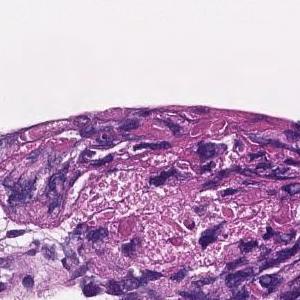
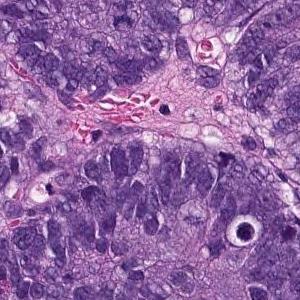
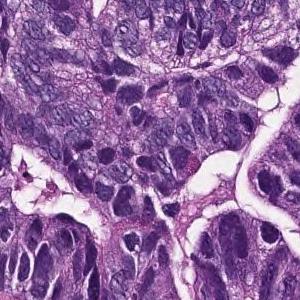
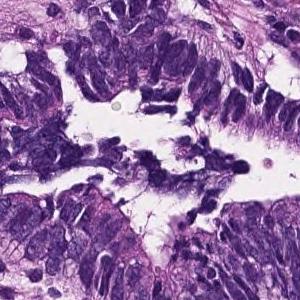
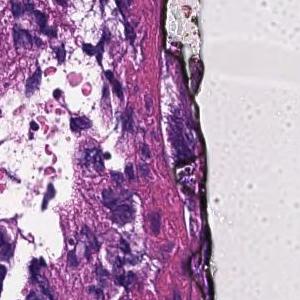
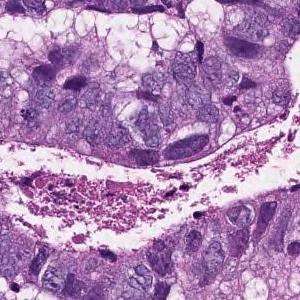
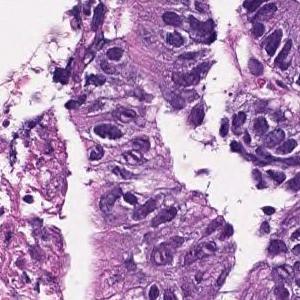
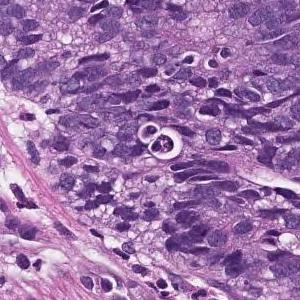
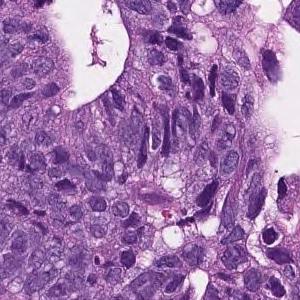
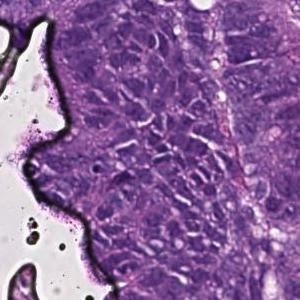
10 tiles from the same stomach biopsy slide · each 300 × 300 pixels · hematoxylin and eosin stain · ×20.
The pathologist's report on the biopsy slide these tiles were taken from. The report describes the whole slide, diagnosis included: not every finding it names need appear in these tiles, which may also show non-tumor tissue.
In the superficial epithelium, tumor tissue that invades by forming medium-sized to small, irregular ducts is observed. moderately differentiated tubular adenocarcinoma.
